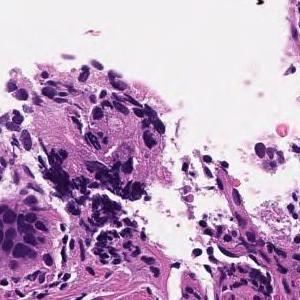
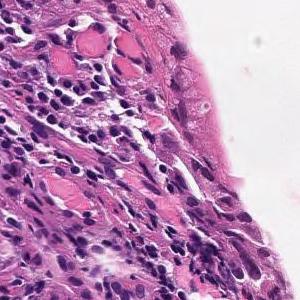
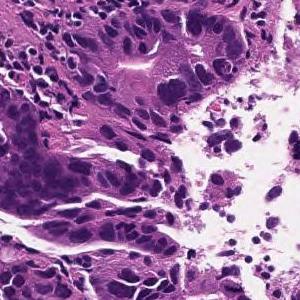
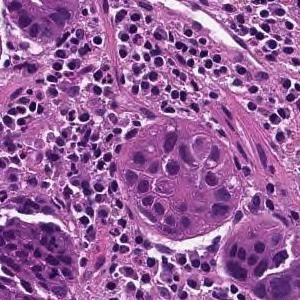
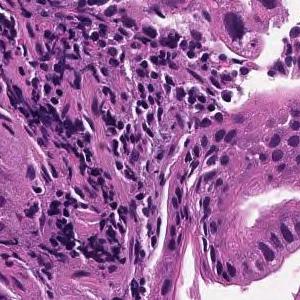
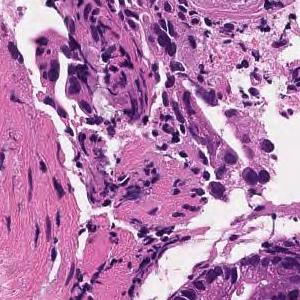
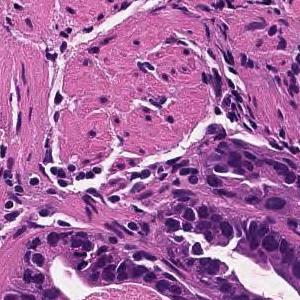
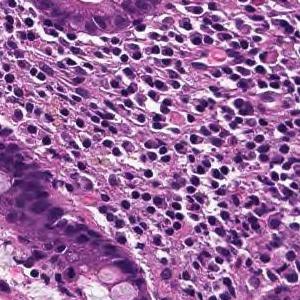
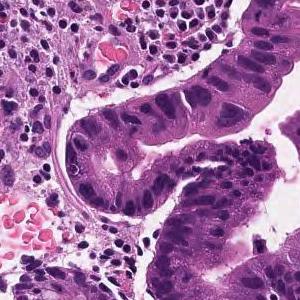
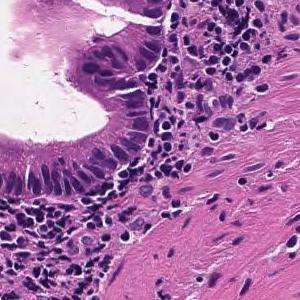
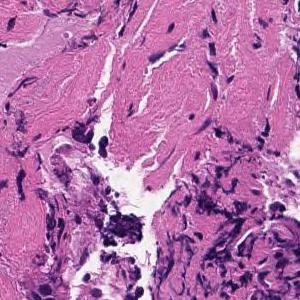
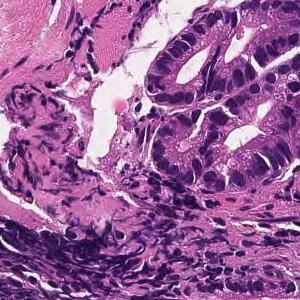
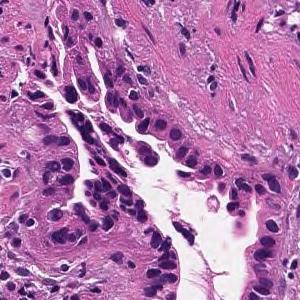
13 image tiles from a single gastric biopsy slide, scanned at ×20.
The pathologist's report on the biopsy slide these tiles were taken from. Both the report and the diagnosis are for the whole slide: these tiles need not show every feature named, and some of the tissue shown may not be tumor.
From the superficial epithelium to the muscularis mucosae, tumor tissue consisting of medium-sized and irregular glandular ducts infiltrating is observed. Well differentiated tubular adenocarcinoma
